8 tiles cut from one stomach biopsy slide · 300×300 px each · H&E stain · 20× magnification.
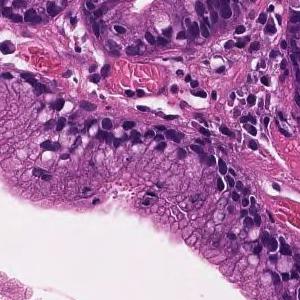
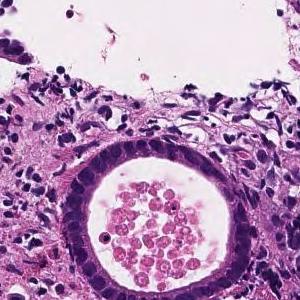
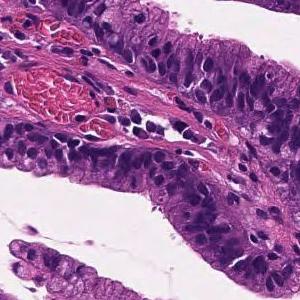
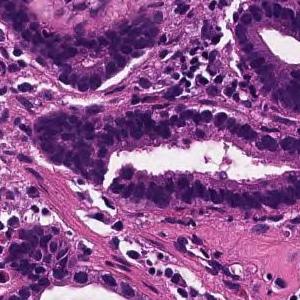
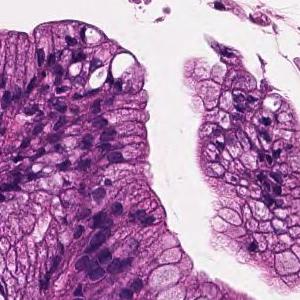
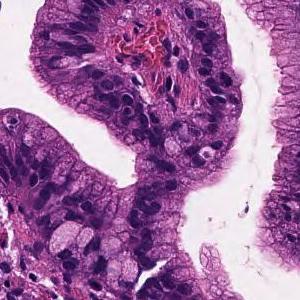
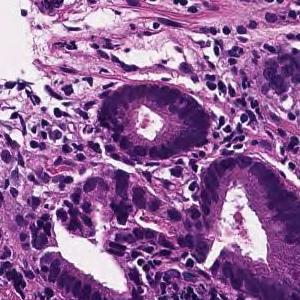
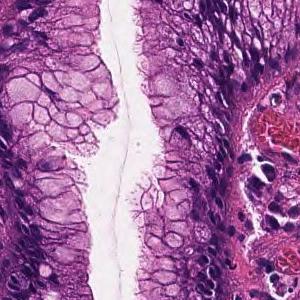
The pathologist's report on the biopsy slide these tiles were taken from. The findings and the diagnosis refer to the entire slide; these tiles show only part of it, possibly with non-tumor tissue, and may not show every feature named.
On the superficial epithelium, tumor tissue consisting of medium-sized and irregular glandular ducts partially fused and infiltrated is observed. Well to moderately differentiated tubular adenocarcinoma (well differentiated tubular adenocarcinoma-moderately differentiated tubular adenocarcinoma)
Subtype: Well to moderately differentiated tubular adenocarcinoma.
